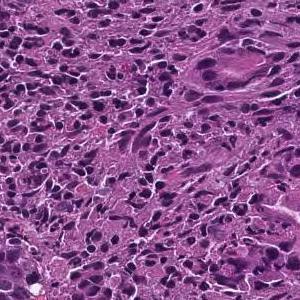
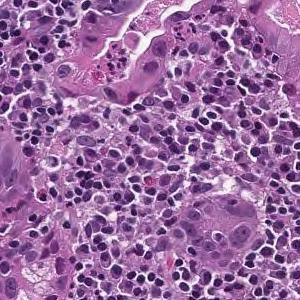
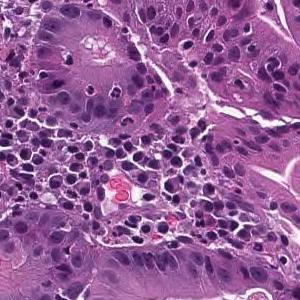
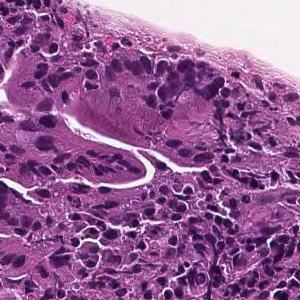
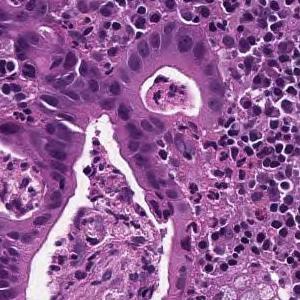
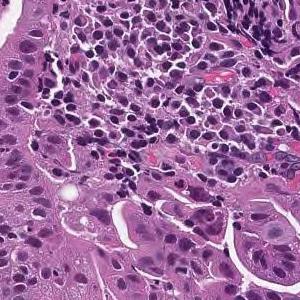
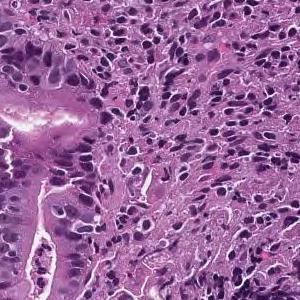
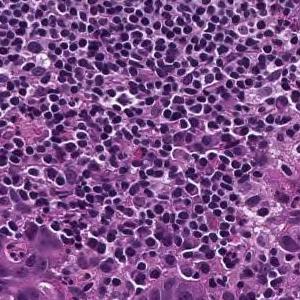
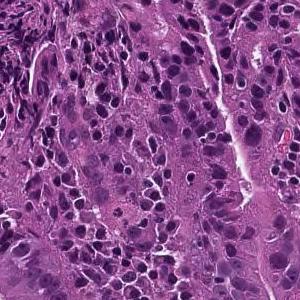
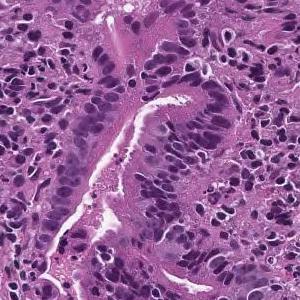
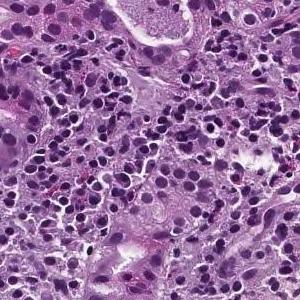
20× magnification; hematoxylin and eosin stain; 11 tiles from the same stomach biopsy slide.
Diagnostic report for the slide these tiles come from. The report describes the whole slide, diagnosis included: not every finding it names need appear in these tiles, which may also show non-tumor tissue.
From the superficial epithelium to the muscularis mucosae, tumor tissue consisting of medium-sized and irregular glandular ducts infiltrating is observed. Well differentiated tubular adenocarcinoma
